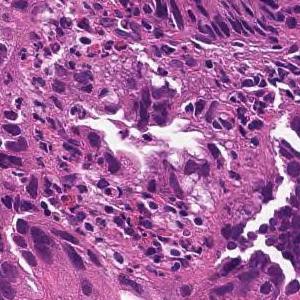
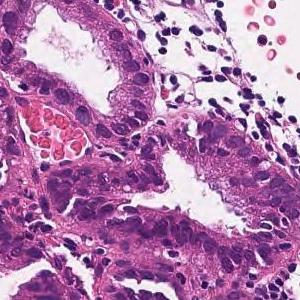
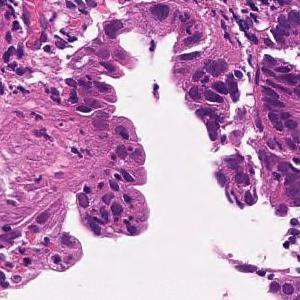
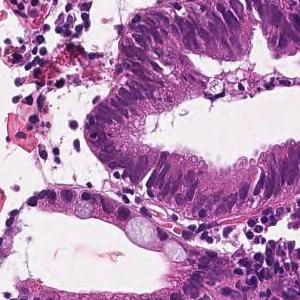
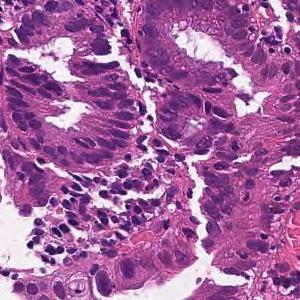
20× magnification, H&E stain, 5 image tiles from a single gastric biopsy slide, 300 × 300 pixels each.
Pathology report for the biopsy slide these tiles were cut from. The report and the diagnosis describe the slide as a whole, so these tiles may not show every feature named and may include non-tumor tissue.
From the superficial epithelium to the muscularis mucosae, tumor tissue infiltrating by forming medium-sized irregular gland ducts is observed. Large tumor cells exhibit large nucleus and hyperchromatism. Well differentiated tubular adenocarcinoma
